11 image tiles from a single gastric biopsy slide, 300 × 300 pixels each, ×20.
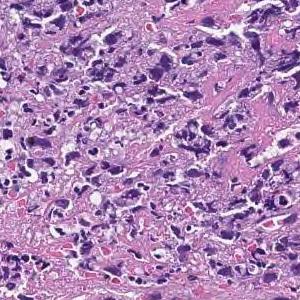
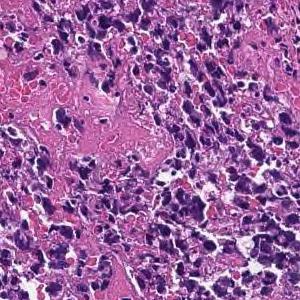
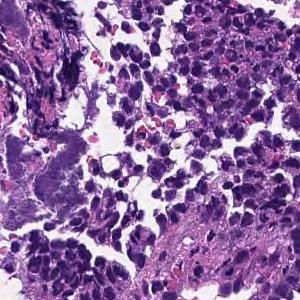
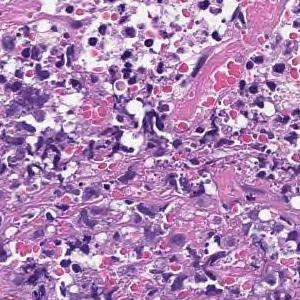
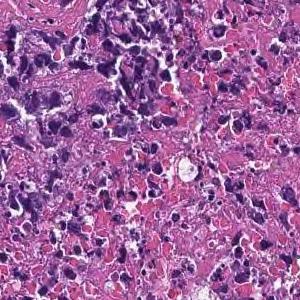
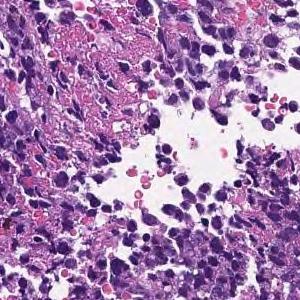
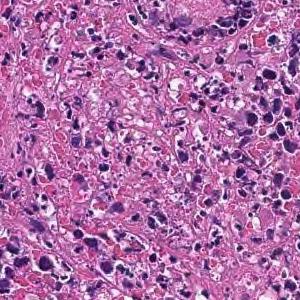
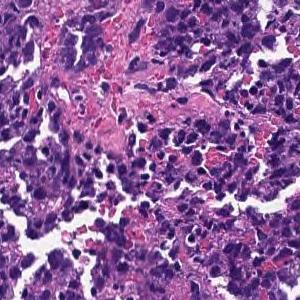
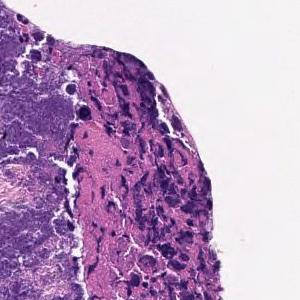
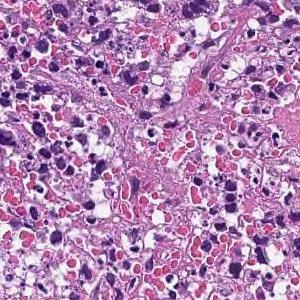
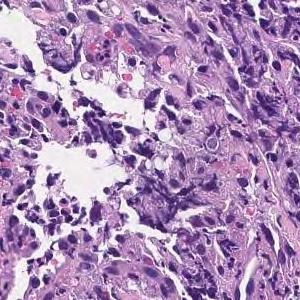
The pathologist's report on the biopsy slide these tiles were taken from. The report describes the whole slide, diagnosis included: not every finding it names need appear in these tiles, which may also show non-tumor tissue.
Most are composed of coagulative necrotic tissue, but some show a large sheet-like shape, and some show tumor tissue infiltrating with a small cord-like structure. Poorly differentiated adenocarcinoma, solid-type
Histological subtype: Poorly differentiated adenocarcinoma, solid type (Japanese Classification of Gastric Carcinoma). The WHO 2019 equivalent is tubular adenocarcinoma, poorly differentiated.
